4 tiles from the same stomach biopsy slide · 300×300 px each · ×20.
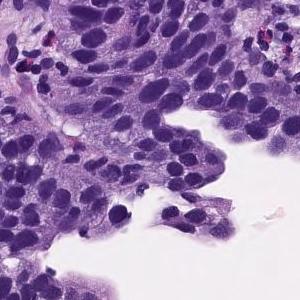
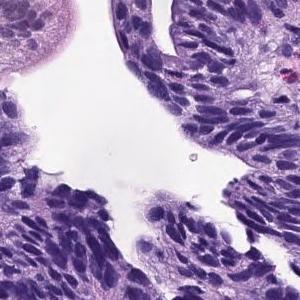
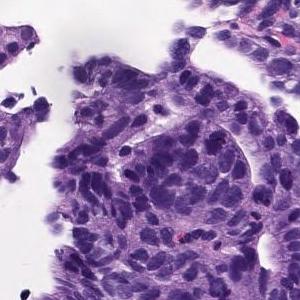
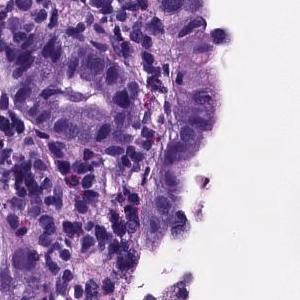
Diagnostic report for the slide these tiles come from. What the report and the diagnosis say applies to the whole slide; these tiles may miss some of the features named and may include tissue that is not tumor.
Atypical epithelial cells are proliferating to replace the foveolar epithelium is observed. Well differentiated tubular adenocarcinoma.
